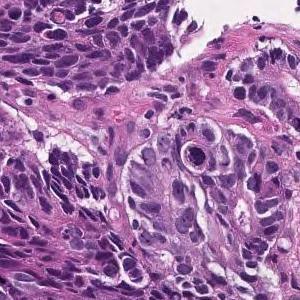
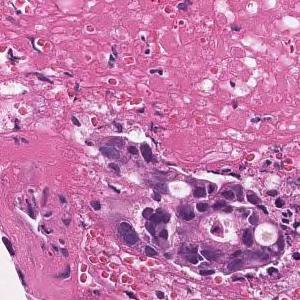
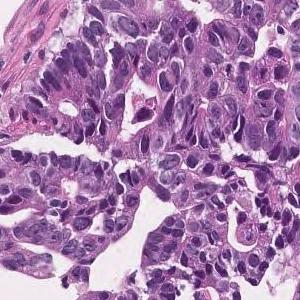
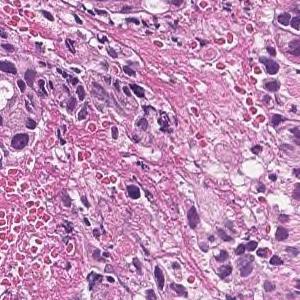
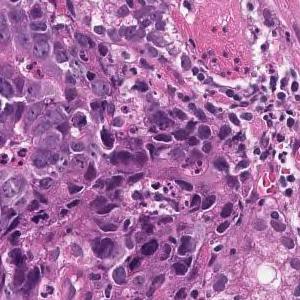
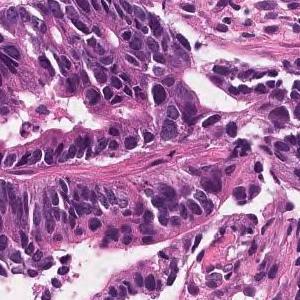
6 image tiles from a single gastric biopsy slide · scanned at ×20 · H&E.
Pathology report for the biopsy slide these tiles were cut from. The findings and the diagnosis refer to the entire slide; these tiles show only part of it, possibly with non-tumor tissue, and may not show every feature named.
In the superficial epithelium, tumor tissue that invades by forming medium-sized to small, irregular ducts is observed. moderately differentiated tubular adenocarcinoma.
